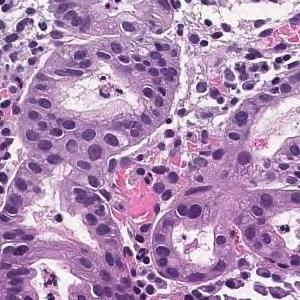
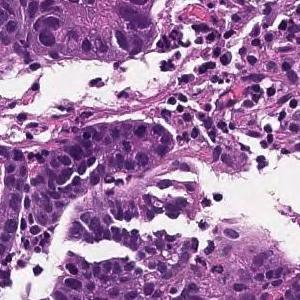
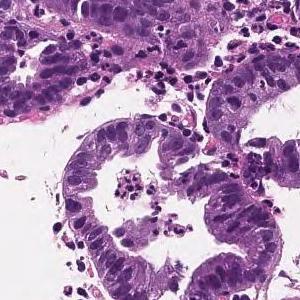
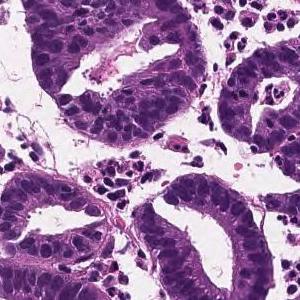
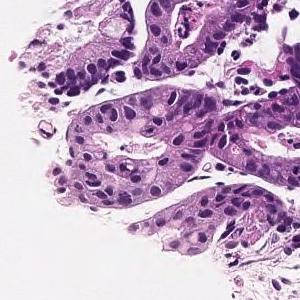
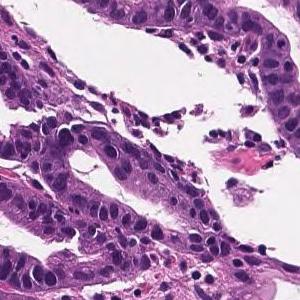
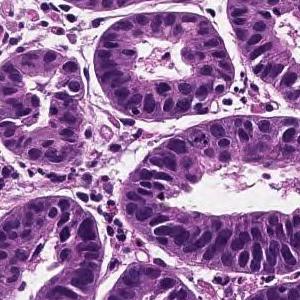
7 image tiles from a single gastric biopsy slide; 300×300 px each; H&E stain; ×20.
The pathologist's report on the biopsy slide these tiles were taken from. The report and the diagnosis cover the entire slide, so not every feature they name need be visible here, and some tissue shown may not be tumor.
On the superficial epithelium, tumor tissue consisting of medium-sized irregular or small round gland ducts showing a small cord-like shape and infiltrating is observed. Well differentiated tubular adenocarcinoma or Poorly differentiated adenocarcinoma, non-solid type
Labeled in the dataset as well differentiated tubular adenocarcinoma.
"Non-solid type" is a category of the Japanese Classification of Gastric Carcinoma.
